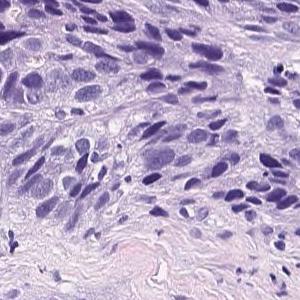
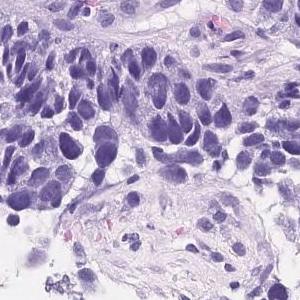
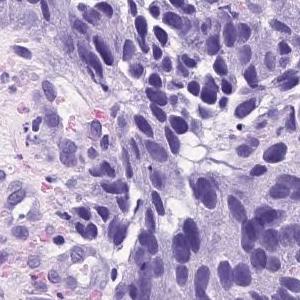
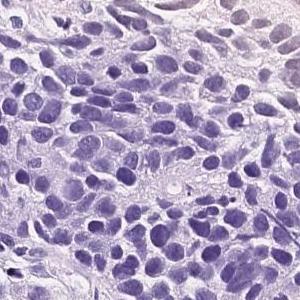
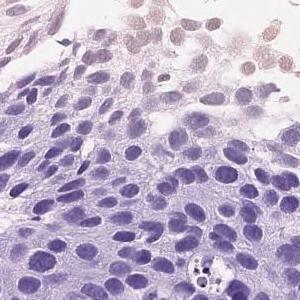
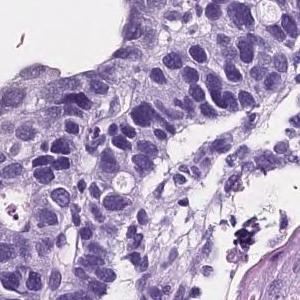
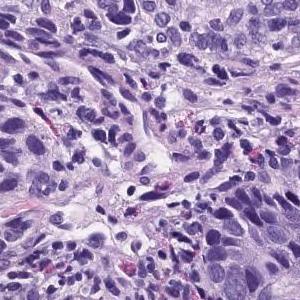
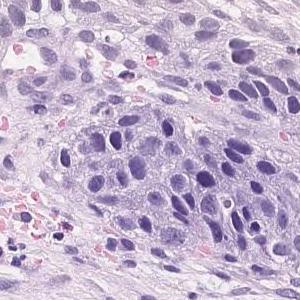
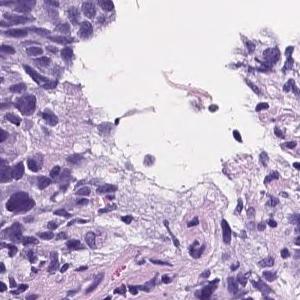
Scanned at ×20; 9 tiles from the same stomach biopsy slide; each 300 × 300 pixels.
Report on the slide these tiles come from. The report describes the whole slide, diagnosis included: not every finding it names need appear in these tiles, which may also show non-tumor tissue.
Atypical cells with atypical nuclei forming small irregular atypical ducts and growing in a conformative manner. moderately differentiated tubular adenocarcinoma
Labeled in the dataset as moderately to poorly differentiated adenocarcinoma.
